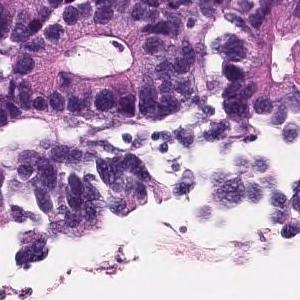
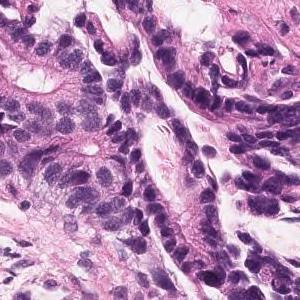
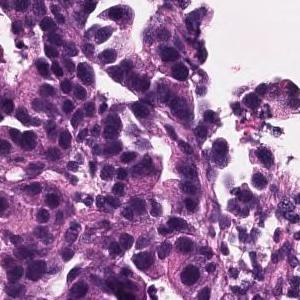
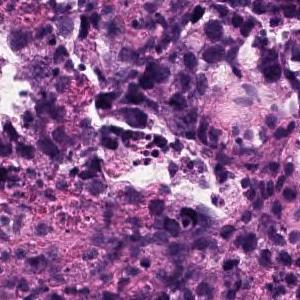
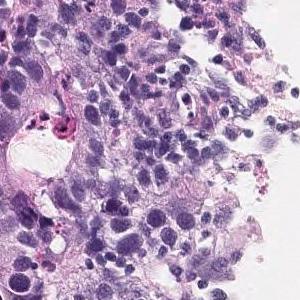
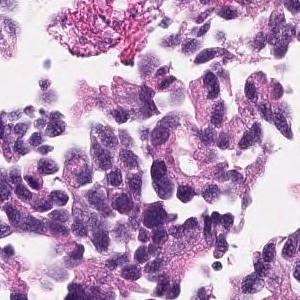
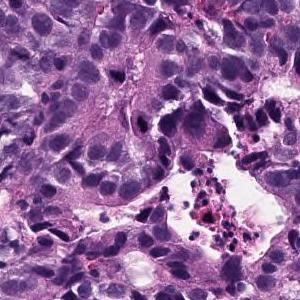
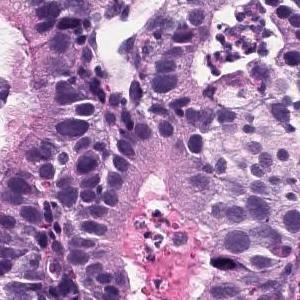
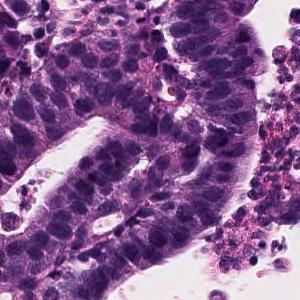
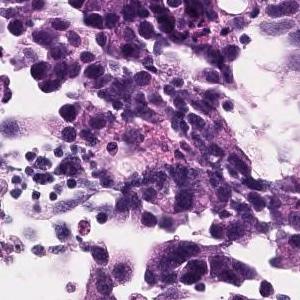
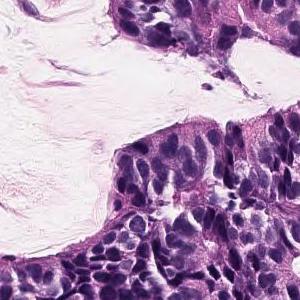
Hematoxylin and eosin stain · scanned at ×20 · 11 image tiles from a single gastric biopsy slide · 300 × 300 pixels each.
Diagnostic report for the slide these tiles come from. The report and the diagnosis cover the entire slide, so not every feature they name need be visible here, and some tissue shown may not be tumor.
In the superficial epithelium, tumor tissue that invades by forming medium-sized to small, irregular ducts is observed. moderately differentiated tubular adenocarcinoma.
